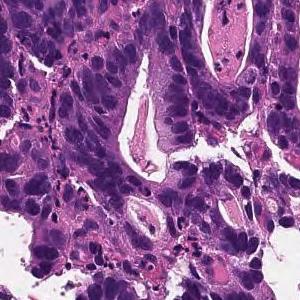
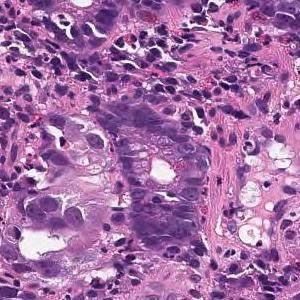
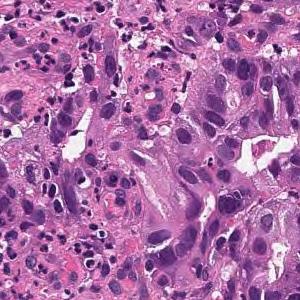
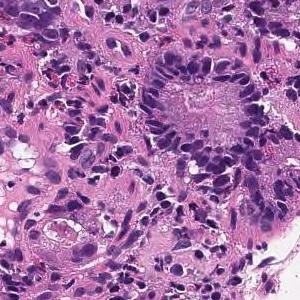
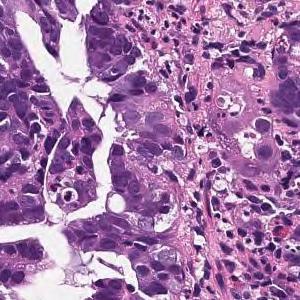
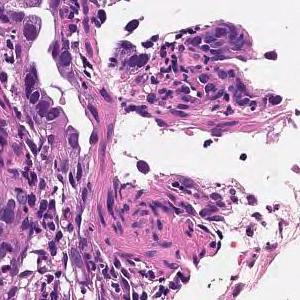
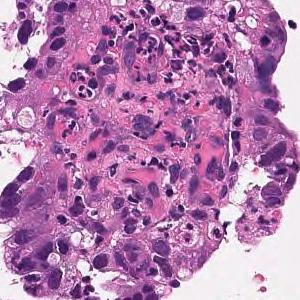
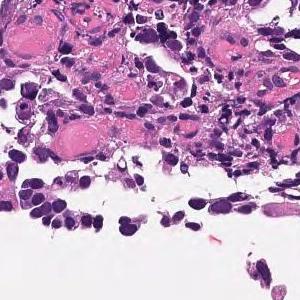
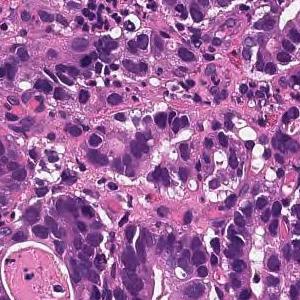
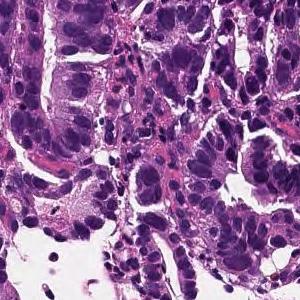
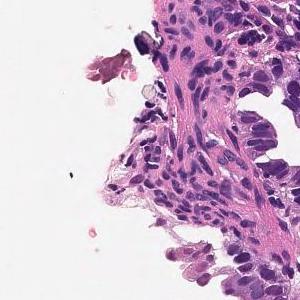
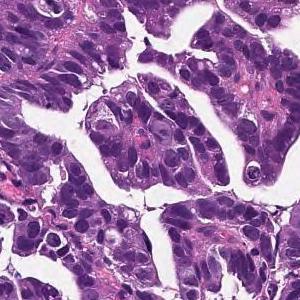
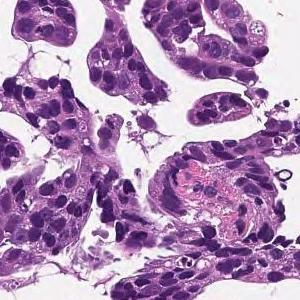
13 tiles from the same stomach biopsy slide · H&E stain.
Report on the slide these tiles come from. What the report and the diagnosis say applies to the whole slide; these tiles may miss some of the features named and may include tissue that is not tumor.
Tumor cells are large, highly columnar, large club-shaped nuclei, and are associated with chromatin aggregation. Papillary adenocarcinoma.
